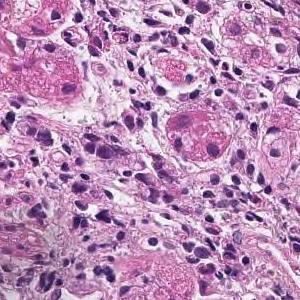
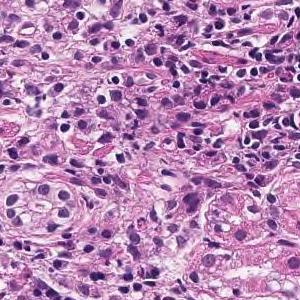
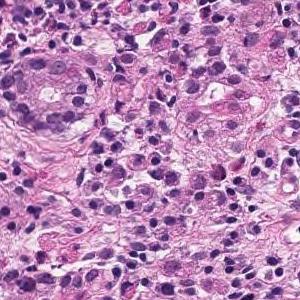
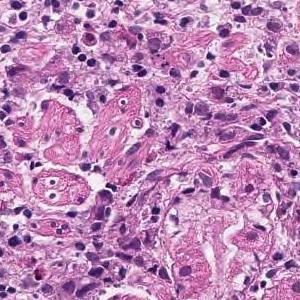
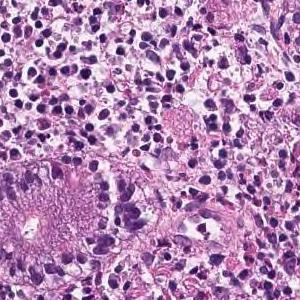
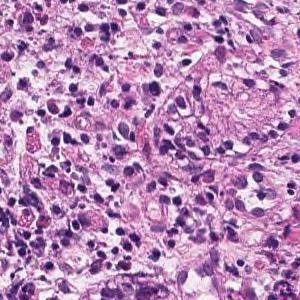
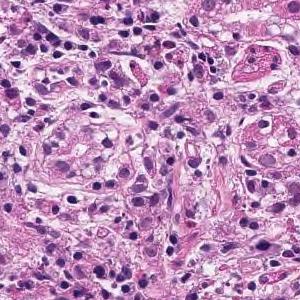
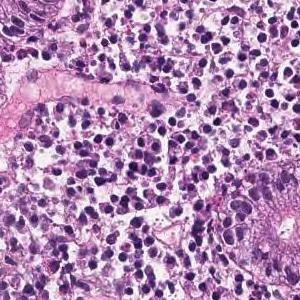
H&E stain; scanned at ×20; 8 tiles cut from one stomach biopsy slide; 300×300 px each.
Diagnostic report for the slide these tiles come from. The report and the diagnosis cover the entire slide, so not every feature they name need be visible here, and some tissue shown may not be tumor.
Tumor tissue consisting of cord-like or small, irregular glandular ducts fused and infiltrated is observed in the superficial epithelium. Poorly differentiated adenocarcinoma, non-solid type
The non-solid type named here is a Japanese Classification of Gastric Carcinoma category.
